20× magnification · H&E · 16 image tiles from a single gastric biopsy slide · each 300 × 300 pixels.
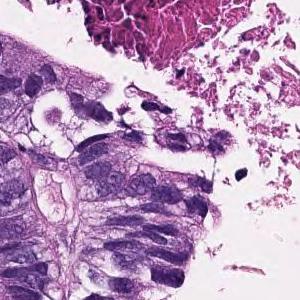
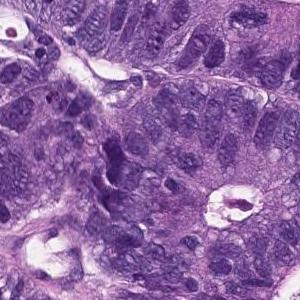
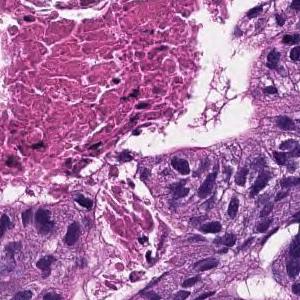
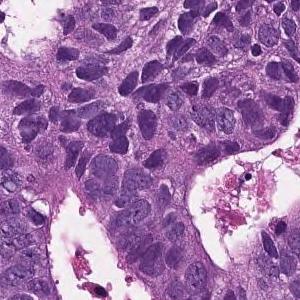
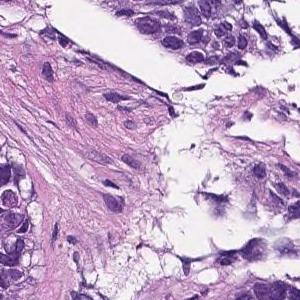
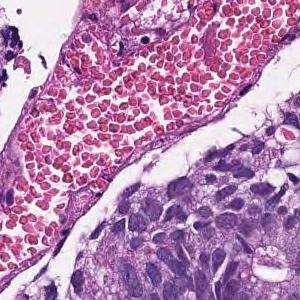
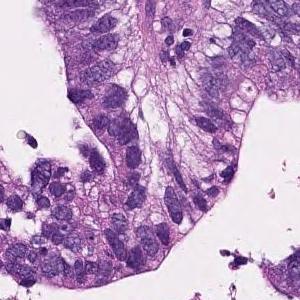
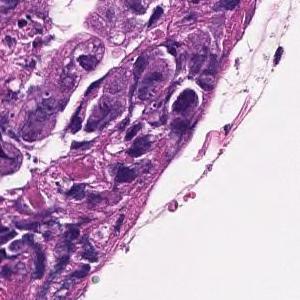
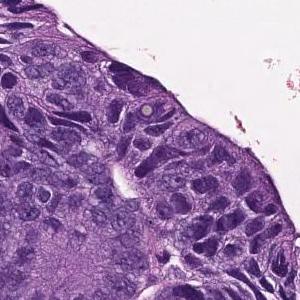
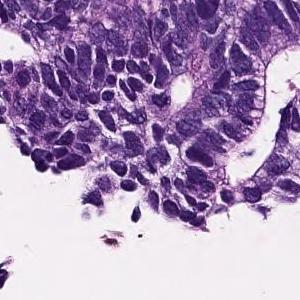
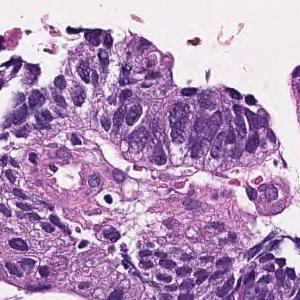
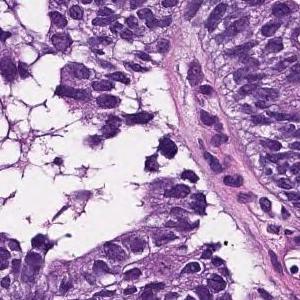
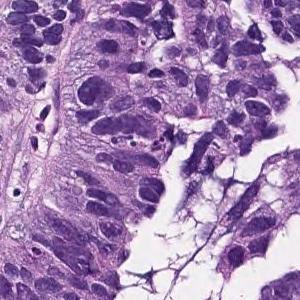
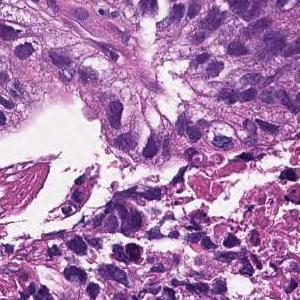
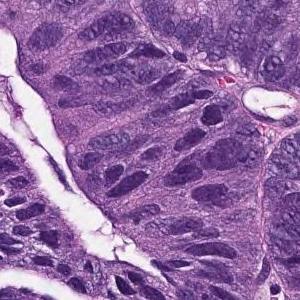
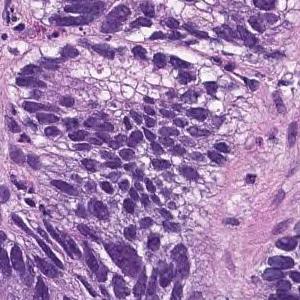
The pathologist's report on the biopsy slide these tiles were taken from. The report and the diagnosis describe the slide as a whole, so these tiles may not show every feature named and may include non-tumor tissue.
In the superficial epithelium, tumor tissue that invades by forming medium-sized to small, irregular ducts is observed. moderately differentiated tubular adenocarcinoma.
